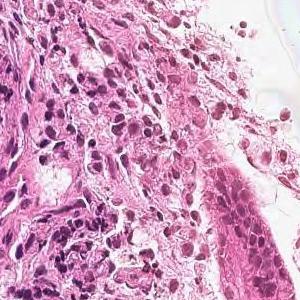
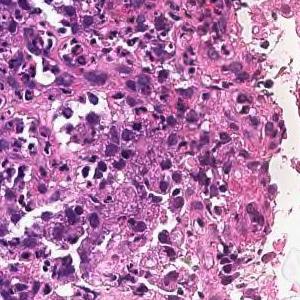
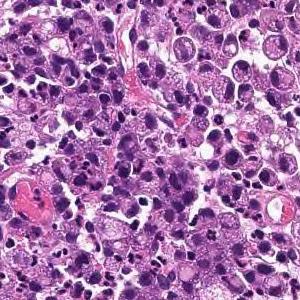
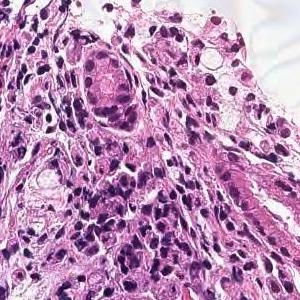
×20; hematoxylin and eosin stain; 4 image tiles from a single gastric biopsy slide; 300×300 px each.
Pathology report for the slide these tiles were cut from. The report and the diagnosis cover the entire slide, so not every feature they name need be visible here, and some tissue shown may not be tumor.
Tumor tissue consisting of diffusely infiltrated large atypical epithelial cells or signet ring atypical cells is observed in the superficial epithelium. Poorly differentiated adenocarcinoma, solid-type
Classified as poorly differentiated adenocarcinoma, solid type. This name comes from the Japanese Classification of Gastric Carcinoma; the WHO 2019 classification calls it tubular adenocarcinoma, poorly differentiated.
